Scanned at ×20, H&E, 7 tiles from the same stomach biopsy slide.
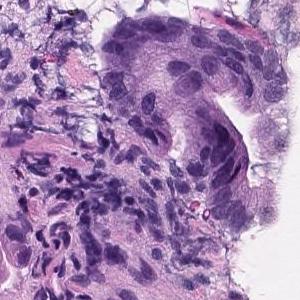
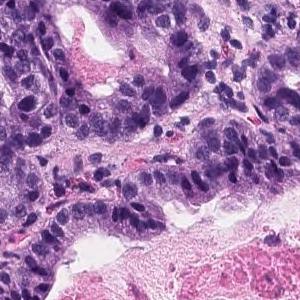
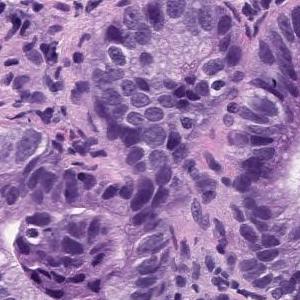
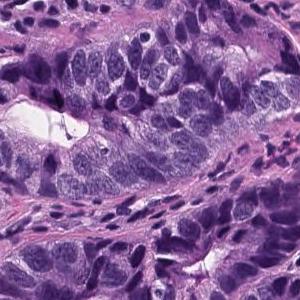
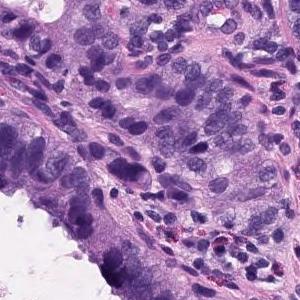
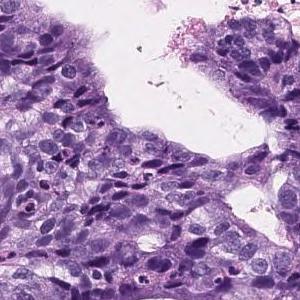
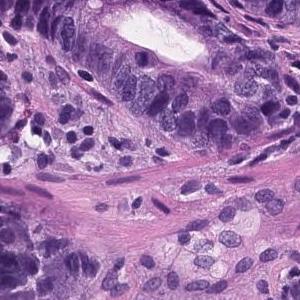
Pathology report for the biopsy slide these tiles were cut from. What the report and the diagnosis say applies to the whole slide; these tiles may miss some of the features named and may include tissue that is not tumor.
Tumor tissue consisting of medium-sized and irregular ducts is observed infiltrating in the superficial epithelium. Tumor cells are highly columnar, with nuclei aligned basolaterally and polarized. Well differentiated tubular adenocarcinoma.
